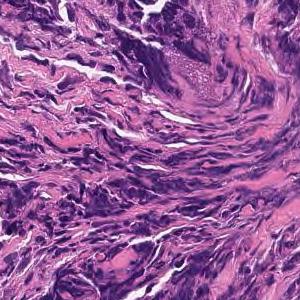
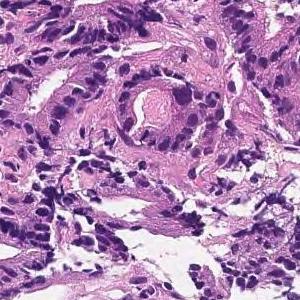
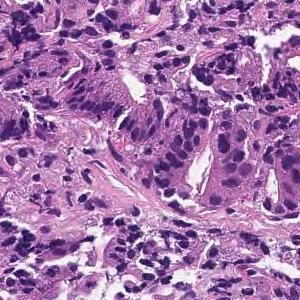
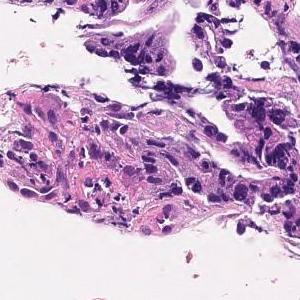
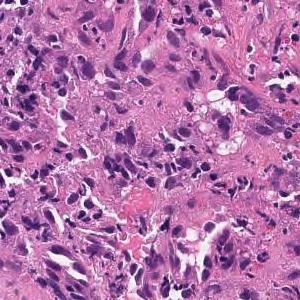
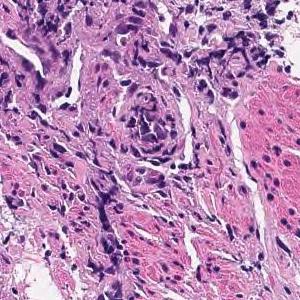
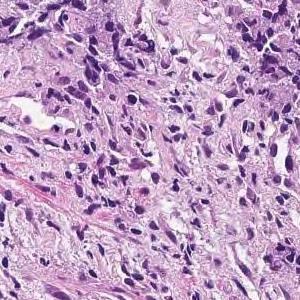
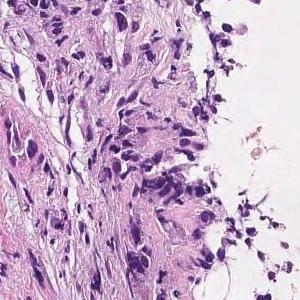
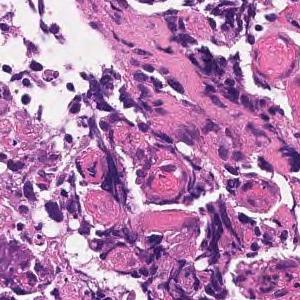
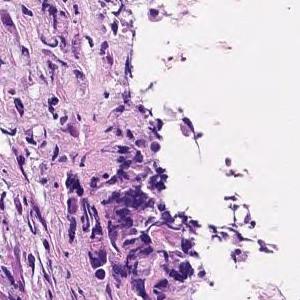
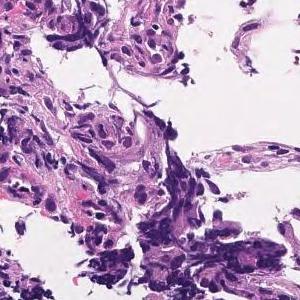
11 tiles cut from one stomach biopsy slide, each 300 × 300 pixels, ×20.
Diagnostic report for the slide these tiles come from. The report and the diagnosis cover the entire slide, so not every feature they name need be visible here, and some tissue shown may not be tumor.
Tumor tissue consisting of medium-sized, cord-like or irregular glandular infiltration is observed in the superficial epithelium. Poorly differentiated adenocarcinoma, non-solid type or moderately differentiated tubular adenocarcinoma
Tumor subtype: moderately to poorly differentiated adenocarcinoma.
The non-solid type named here is a Japanese Classification of Gastric Carcinoma category.
